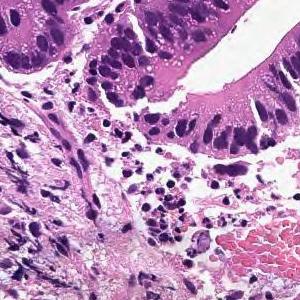
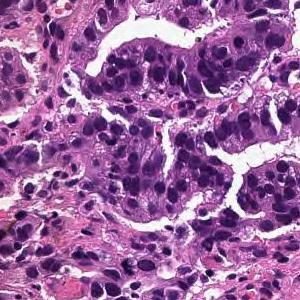
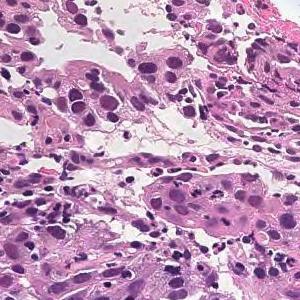
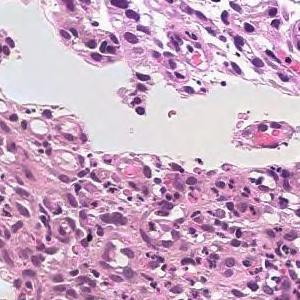
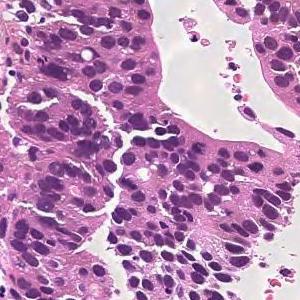
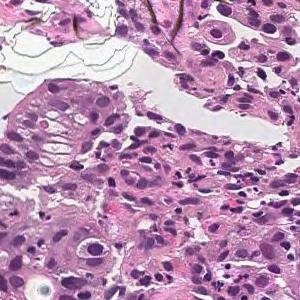
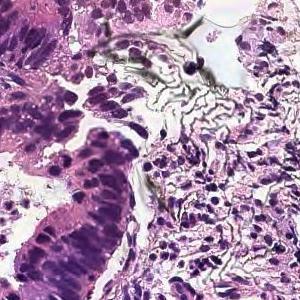
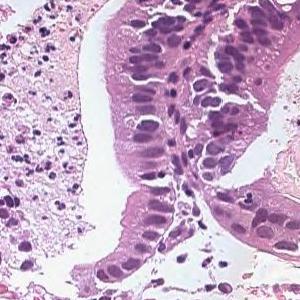
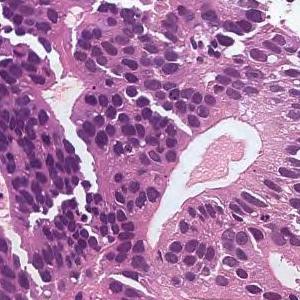
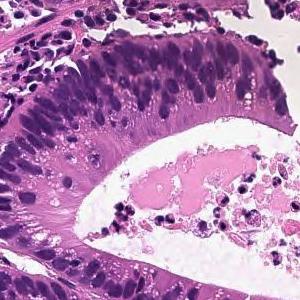
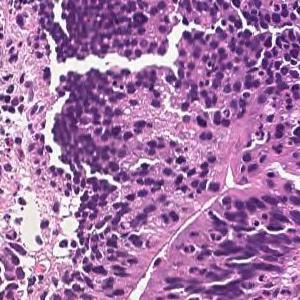
11 patches cut from one gastric biopsy slide; each 300 × 300 pixels; 20× magnification.
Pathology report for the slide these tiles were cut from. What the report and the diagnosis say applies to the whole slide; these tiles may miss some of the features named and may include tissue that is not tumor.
On the superficial epithelium, tumor tissue consisting of large irregular glandular ducts partially fused and infiltrated is observed. Well to moderately differentiated tubular adenocarcinoma (well differentiated tubular adenocarcinoma, moderately differentiated tubular adenocarcinoma)
Tumor subtype: well to moderately differentiated tubular adenocarcinoma.
